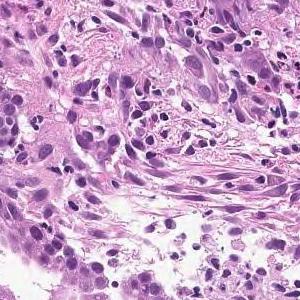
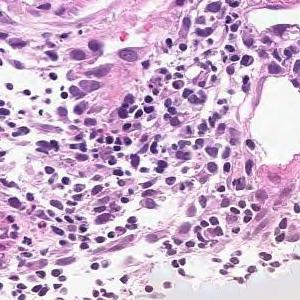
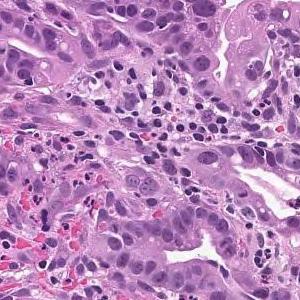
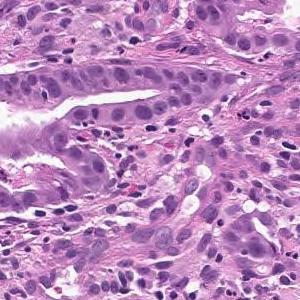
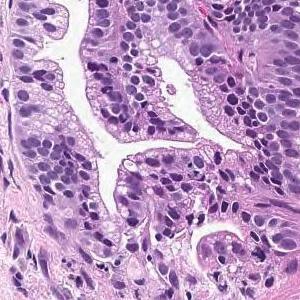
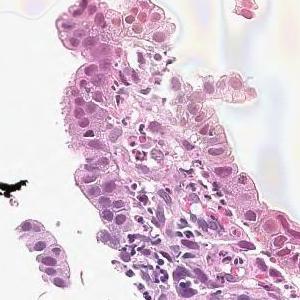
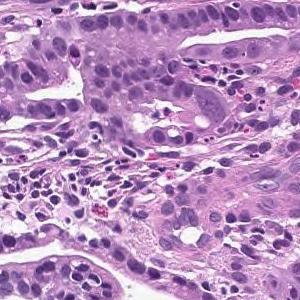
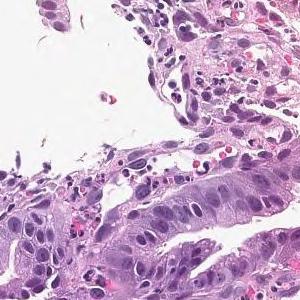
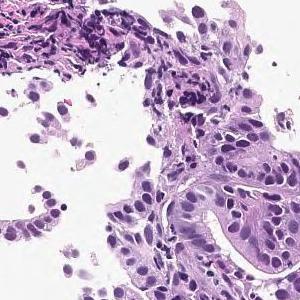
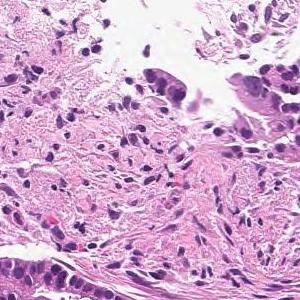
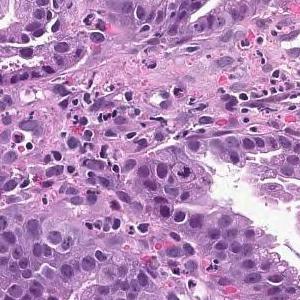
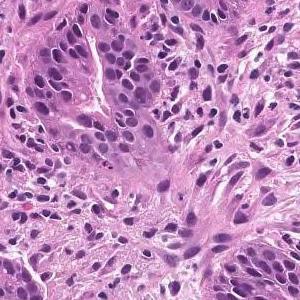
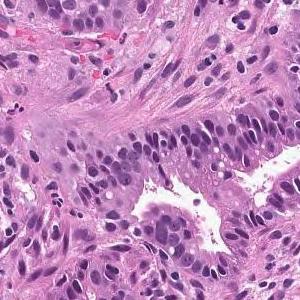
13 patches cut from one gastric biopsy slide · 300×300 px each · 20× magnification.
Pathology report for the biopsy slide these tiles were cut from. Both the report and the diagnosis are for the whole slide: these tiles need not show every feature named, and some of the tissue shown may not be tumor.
On the superficial epithelium, tumor tissue that infiltrates by forming medium-sized papillary or small irregular ducts is observed. Papillary adenocarcinoma
